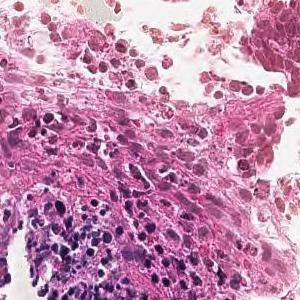
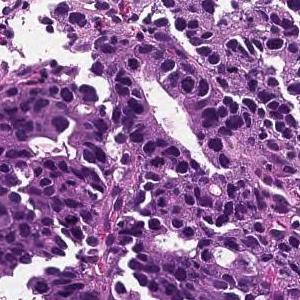
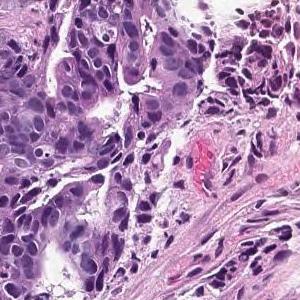
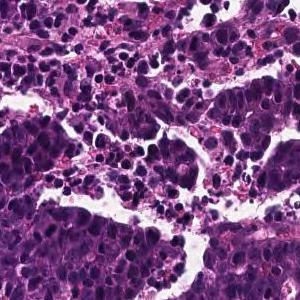
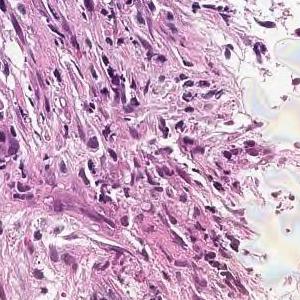
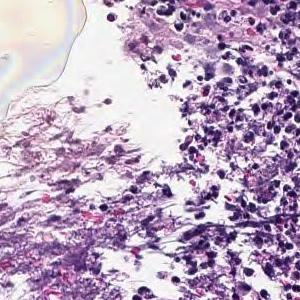
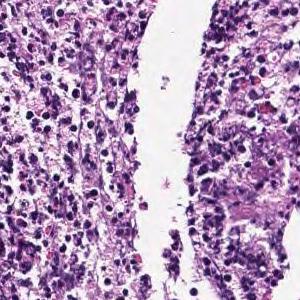
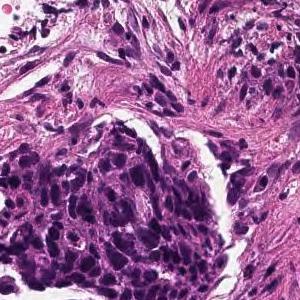
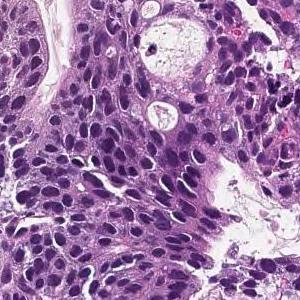
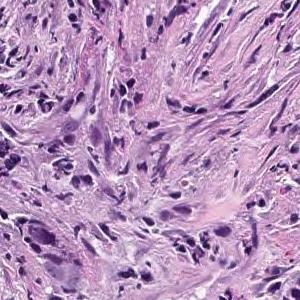
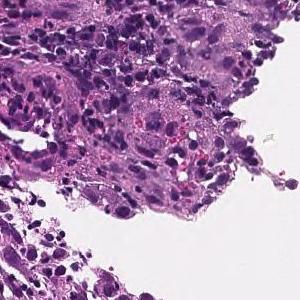
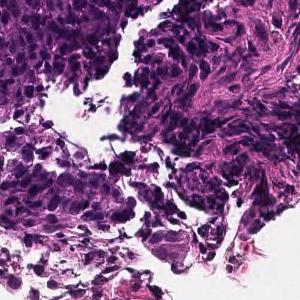
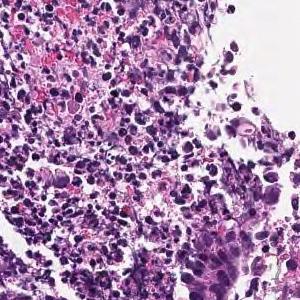
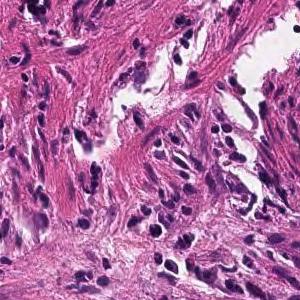
×20; 14 image tiles from a single gastric biopsy slide; 300×300 px each.
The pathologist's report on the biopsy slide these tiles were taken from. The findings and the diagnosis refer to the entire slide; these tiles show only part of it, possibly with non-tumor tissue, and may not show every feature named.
In the superficial epithelium, tumor tissue that invades by forming medium-sized to small, irregular ducts is observed. moderately differentiated tubular adenocarcinoma.
